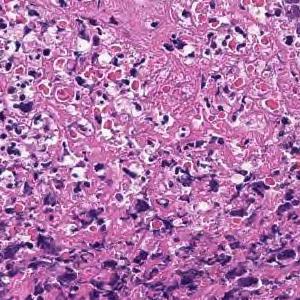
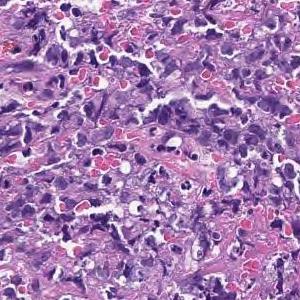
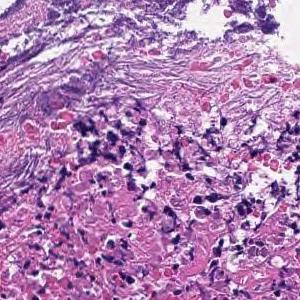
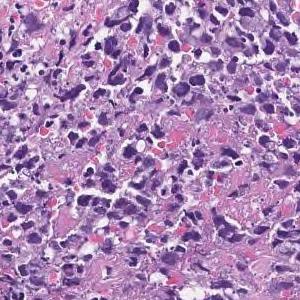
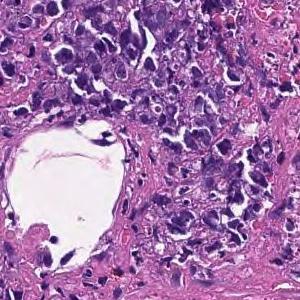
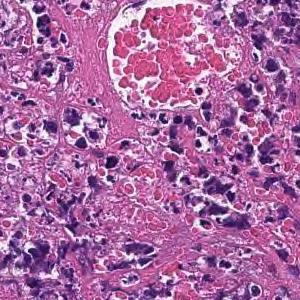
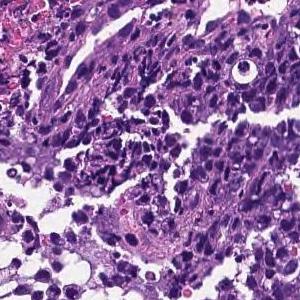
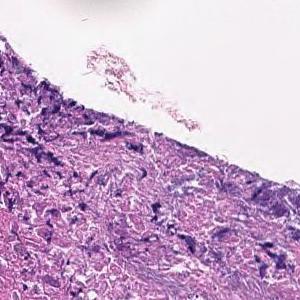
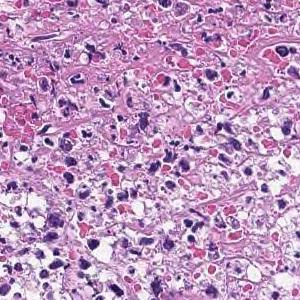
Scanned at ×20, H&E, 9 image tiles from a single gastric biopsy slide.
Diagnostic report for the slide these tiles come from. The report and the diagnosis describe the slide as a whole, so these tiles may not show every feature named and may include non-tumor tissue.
Most are composed of coagulative necrotic tissue, but some show a large sheet-like shape, and some show tumor tissue infiltrating with a small cord-like structure. Poorly differentiated adenocarcinoma, solid-type
Histologic type: Poorly differentiated adenocarcinoma, solid type. This name comes from the Japanese Classification of Gastric Carcinoma; the WHO 2019 classification calls it tubular adenocarcinoma, poorly differentiated.
